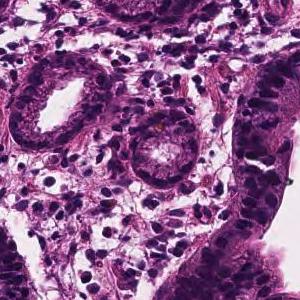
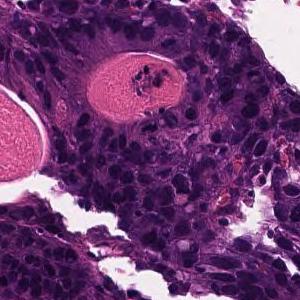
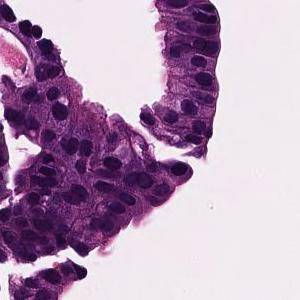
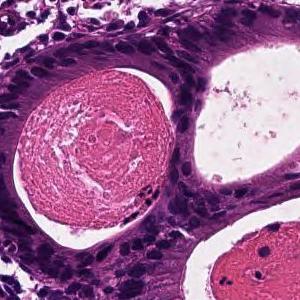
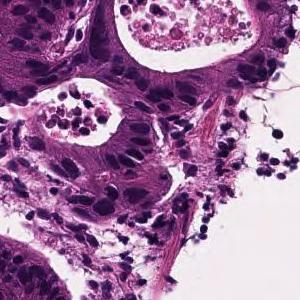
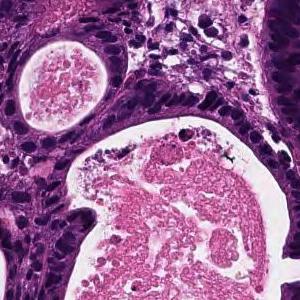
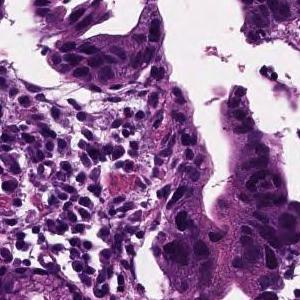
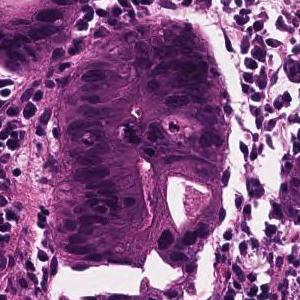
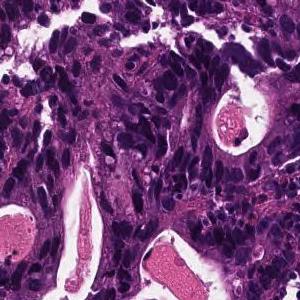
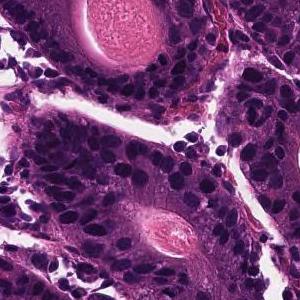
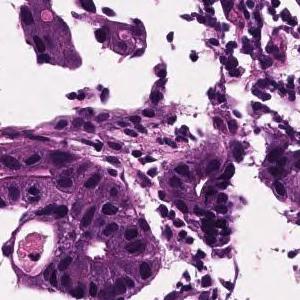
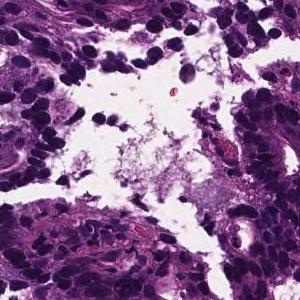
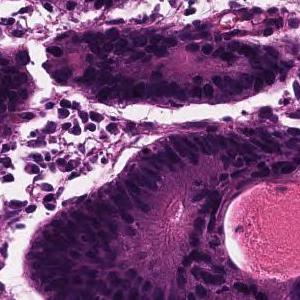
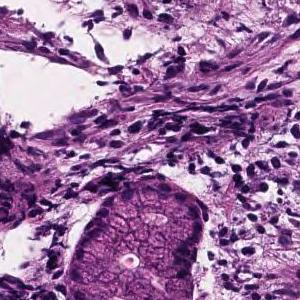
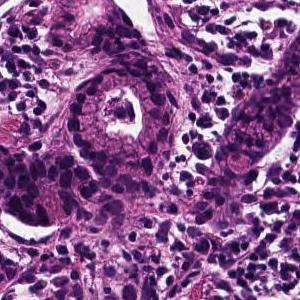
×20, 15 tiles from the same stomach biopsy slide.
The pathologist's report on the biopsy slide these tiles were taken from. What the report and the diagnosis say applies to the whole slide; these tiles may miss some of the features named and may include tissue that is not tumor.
In the superficial epithelium, tumor tissue that invades by forming medium-sized to small, irregular ducts is observed. moderately differentiated tubular adenocarcinoma.
